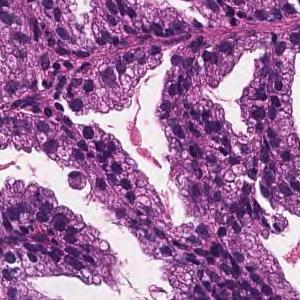
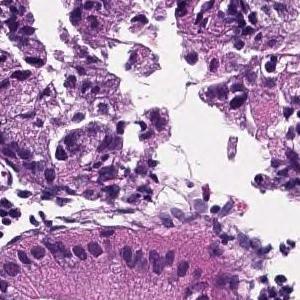
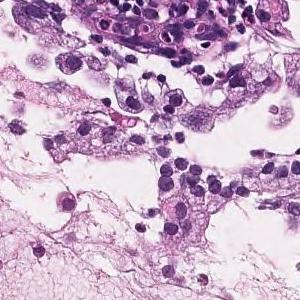
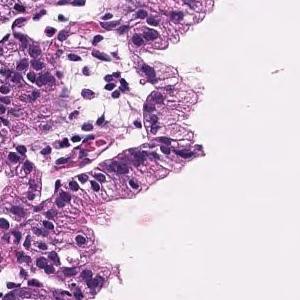
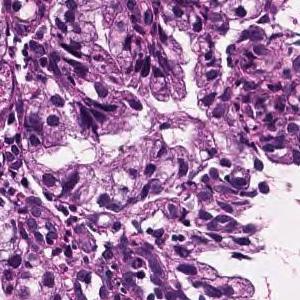
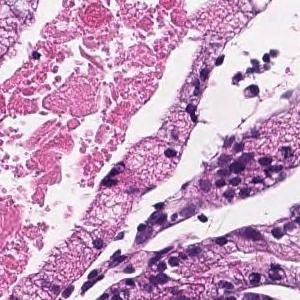
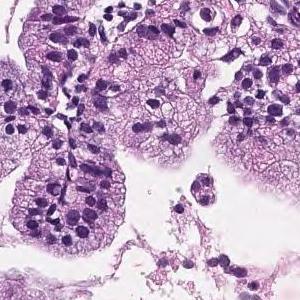
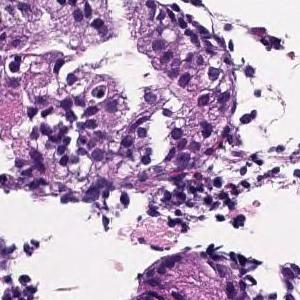
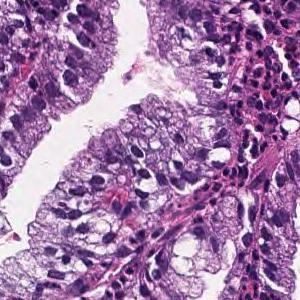
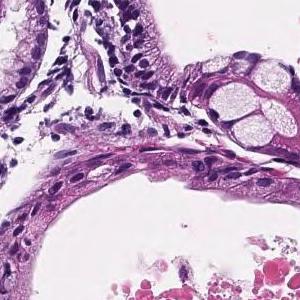
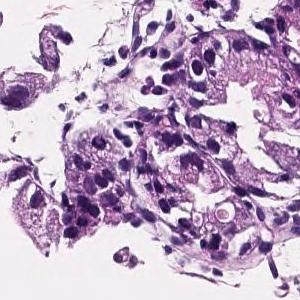
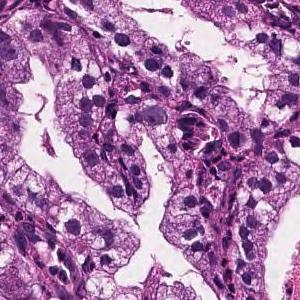
12 tiles cut from one stomach biopsy slide · each 300 × 300 pixels · ×20 · hematoxylin and eosin stain.
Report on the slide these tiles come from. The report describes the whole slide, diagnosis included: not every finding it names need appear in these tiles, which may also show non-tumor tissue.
In the superficial epithelium, tumor tissue that infiltrates by forming medium-sized papillary or small irregular ducts is observed. Papillary adenocarcinoma
